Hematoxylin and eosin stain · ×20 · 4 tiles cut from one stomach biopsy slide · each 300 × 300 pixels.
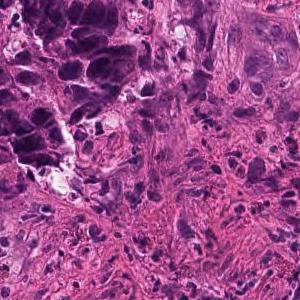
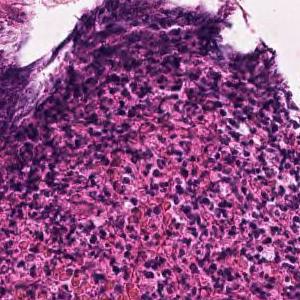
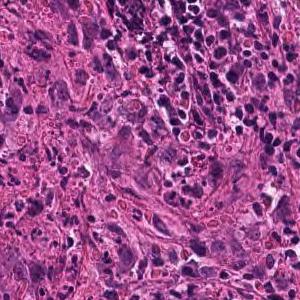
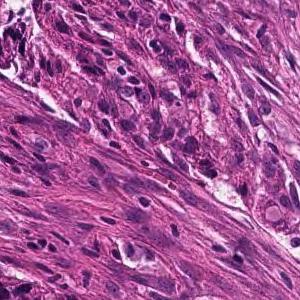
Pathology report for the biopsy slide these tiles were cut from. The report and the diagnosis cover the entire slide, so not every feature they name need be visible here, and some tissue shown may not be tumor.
In the superficial epithelium, tumor tissue that invades by forming medium-sized to small, irregular ducts is observed. moderately differentiated tubular adenocarcinoma.
